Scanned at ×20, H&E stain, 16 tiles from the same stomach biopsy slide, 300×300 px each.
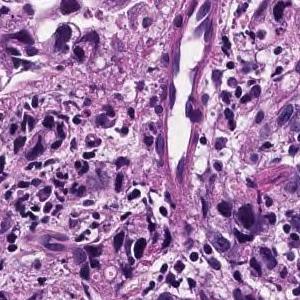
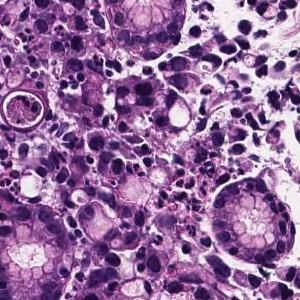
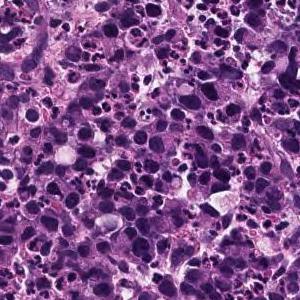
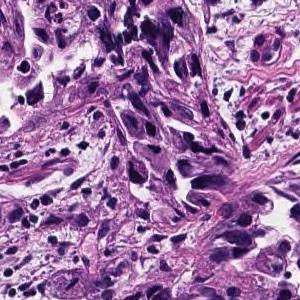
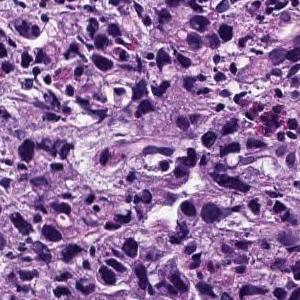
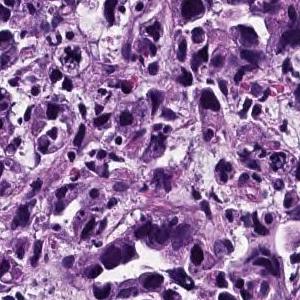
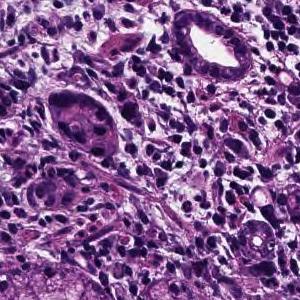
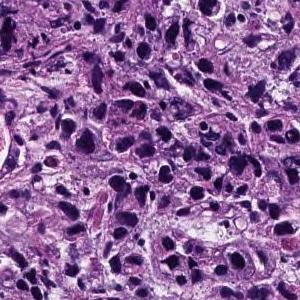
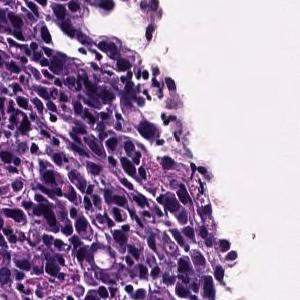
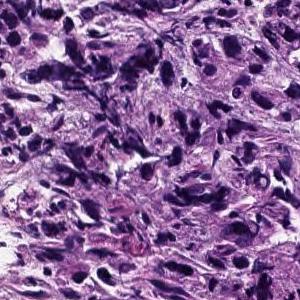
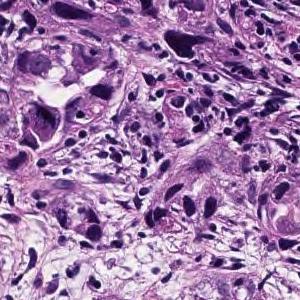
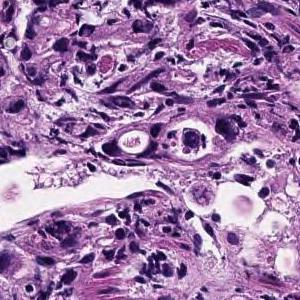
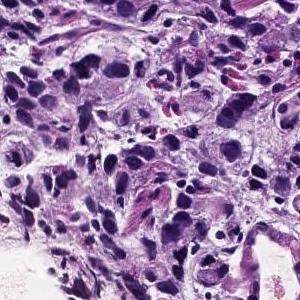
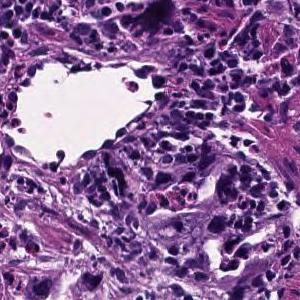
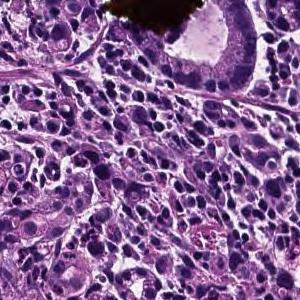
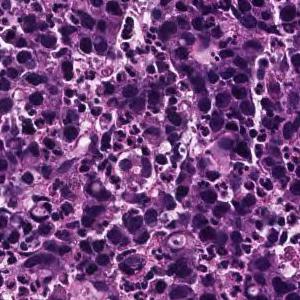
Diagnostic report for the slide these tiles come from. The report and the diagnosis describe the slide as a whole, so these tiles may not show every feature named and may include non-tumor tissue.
The superficial epithelium shows a large sheet-like shape, and some tumor tissue infiltrates with small irregular ducts. Poorly differentiated adenocarcinoma, solid-type
Histological subtype: Poorly differentiated adenocarcinoma, solid type, a category of the Japanese Classification of Gastric Carcinoma; in the WHO 2019 classification it is tubular adenocarcinoma, poorly differentiated.
